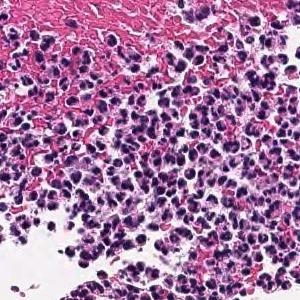
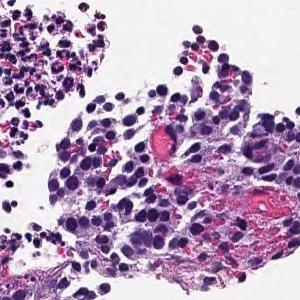
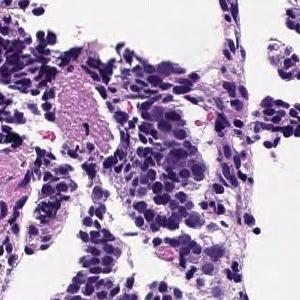
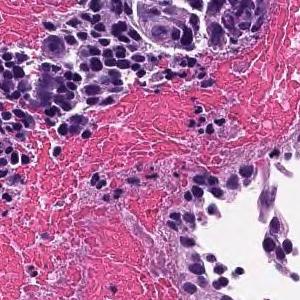
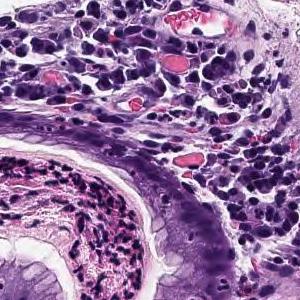
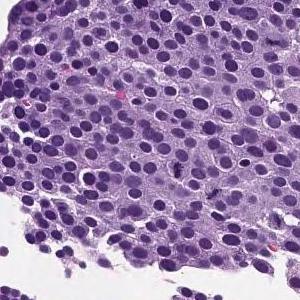
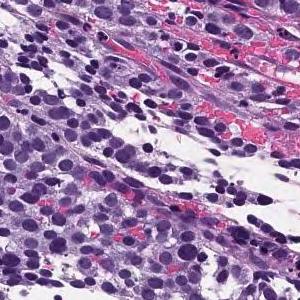
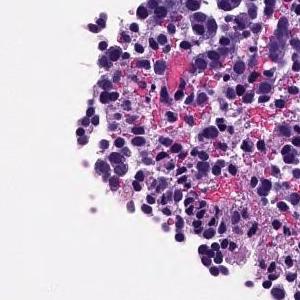
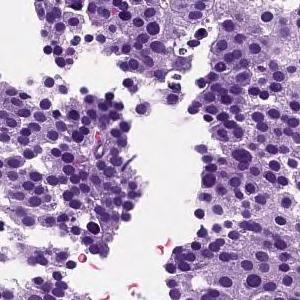
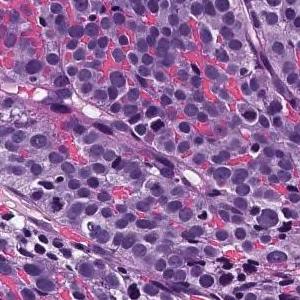
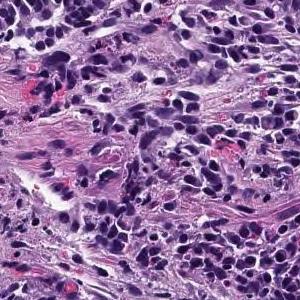
H&E; scanned at ×20; 11 tiles cut from one stomach biopsy slide; 300×300 px each.
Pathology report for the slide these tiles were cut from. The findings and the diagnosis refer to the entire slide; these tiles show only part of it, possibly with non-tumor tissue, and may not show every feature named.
The superficial epithelium shows a large sheet-like shape, and some tumor tissue infiltrates with small irregular ducts. Poorly differentiated adenocarcinoma, solid-type
Subtype: Poorly differentiated adenocarcinoma, solid type (Japanese Classification of Gastric Carcinoma). The WHO 2019 equivalent is tubular adenocarcinoma, poorly differentiated.
